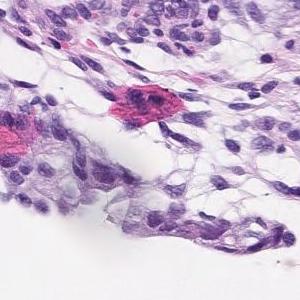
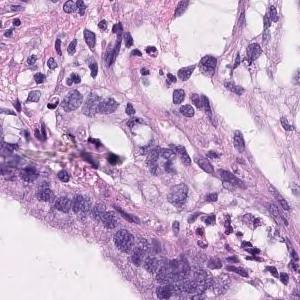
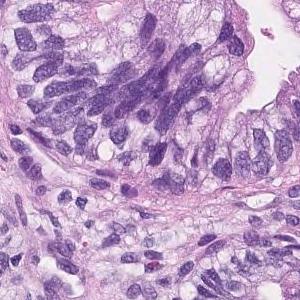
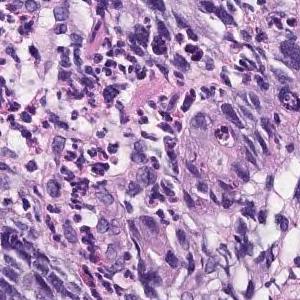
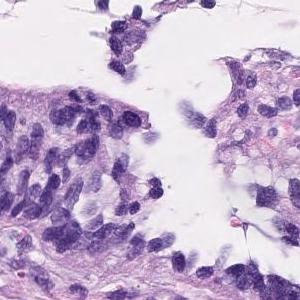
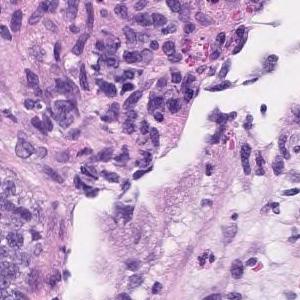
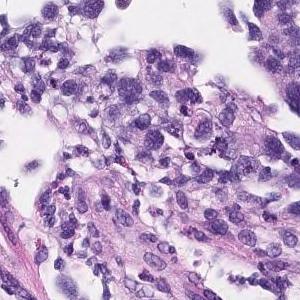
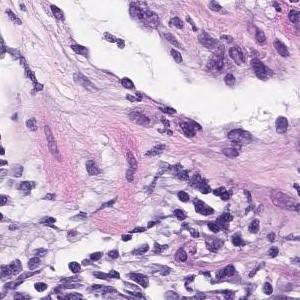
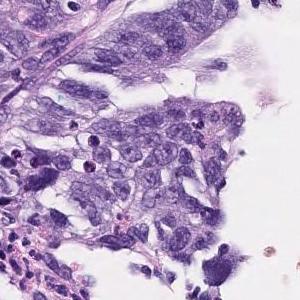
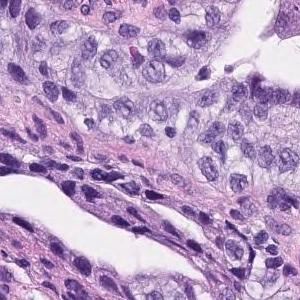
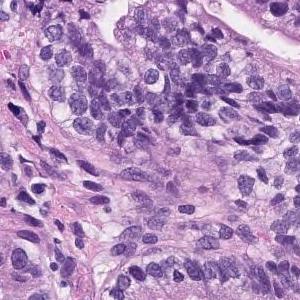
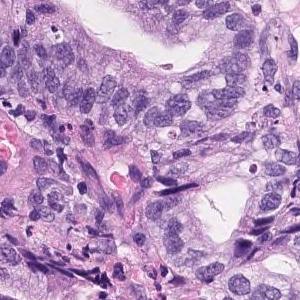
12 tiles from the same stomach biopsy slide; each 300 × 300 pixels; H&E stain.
Pathology report for the slide these tiles were cut from. The report and the diagnosis cover the entire slide, so not every feature they name need be visible here, and some tissue shown may not be tumor.
Tumor cells are large, highly columnar, large club-shaped nuclei, and are associated with chromatin aggregation. Papillary adenocarcinoma.
